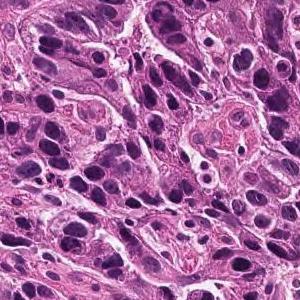
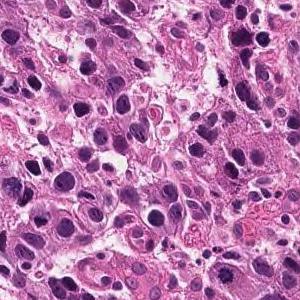
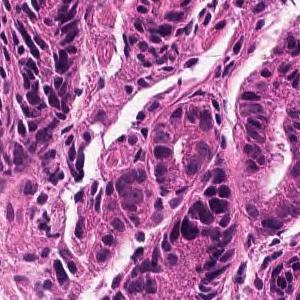
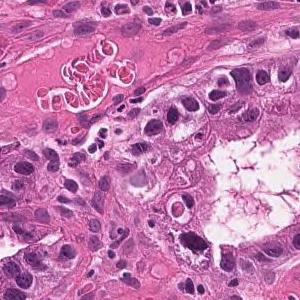
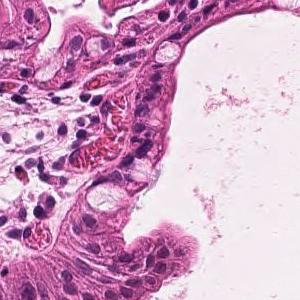
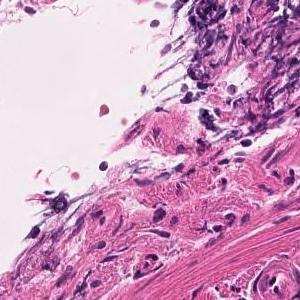
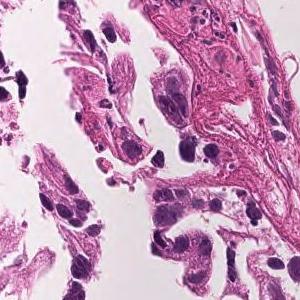
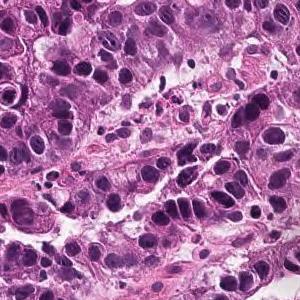
Scanned at ×20; 8 patches cut from one gastric biopsy slide; 300×300 px each.
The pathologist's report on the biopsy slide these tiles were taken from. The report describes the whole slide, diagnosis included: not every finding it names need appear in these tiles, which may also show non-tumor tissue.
Tumor tissue consisting of medium-sized, cord-like or irregular glandular infiltration is observed in the superficial epithelium. Poorly differentiated adenocarcinoma, non-solid type or moderately differentiated tubular adenocarcinoma
Tumor subtype: moderately to poorly differentiated adenocarcinoma.
The non-solid type named here is a Japanese Classification of Gastric Carcinoma category.
